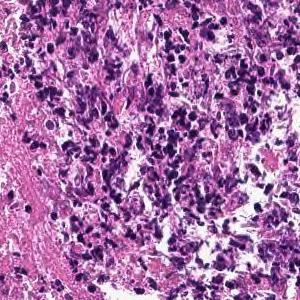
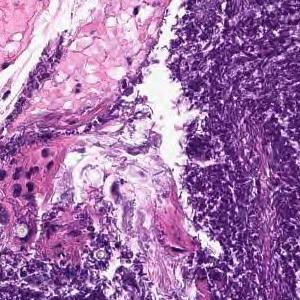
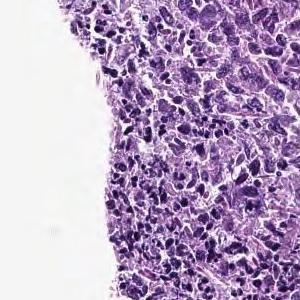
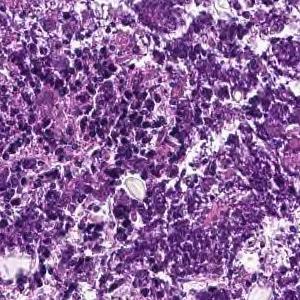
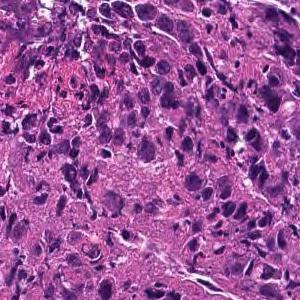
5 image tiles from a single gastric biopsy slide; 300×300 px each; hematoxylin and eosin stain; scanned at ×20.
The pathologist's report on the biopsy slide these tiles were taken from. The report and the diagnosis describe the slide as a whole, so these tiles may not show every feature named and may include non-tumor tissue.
Cancers with polygonal nuclei do not show glandular formation and are densely, in part, cord-like and proliferate. Poorly differentiated adenocarcinoma
Classified as poorly differentiated adenocarcinoma, non-solid type.
The term "non-solid type" comes from the Japanese Classification of Gastric Carcinoma.
